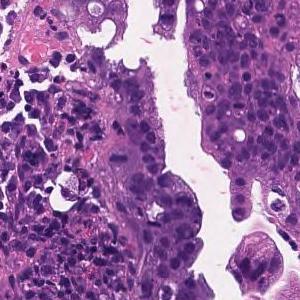
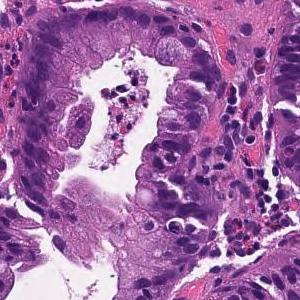
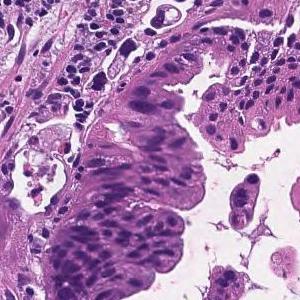
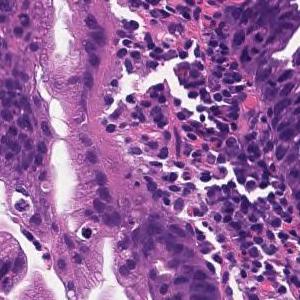
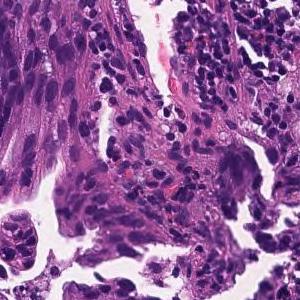
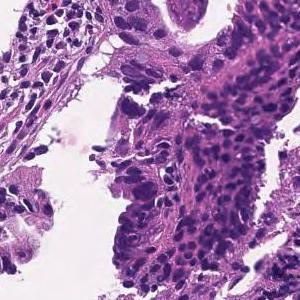
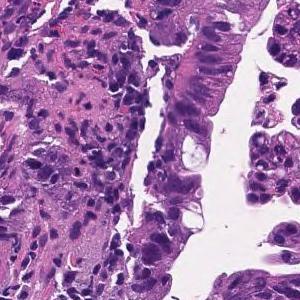
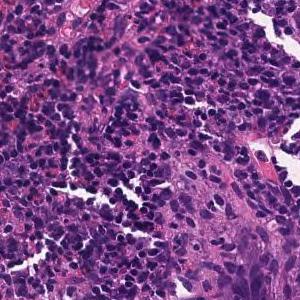
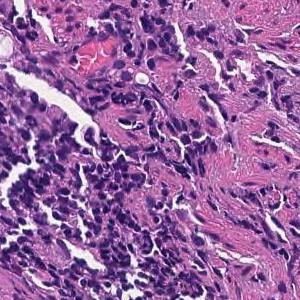
×20; 9 image tiles from a single gastric biopsy slide; 300×300 px each.
The pathologist's report on the biopsy slide these tiles were taken from. Both the report and the diagnosis are for the whole slide: these tiles need not show every feature named, and some of the tissue shown may not be tumor.
On the superficial epithelium, tumor tissue that infiltrates by forming medium-sized papillary or small irregular ducts is observed. Papillary adenocarcinoma
